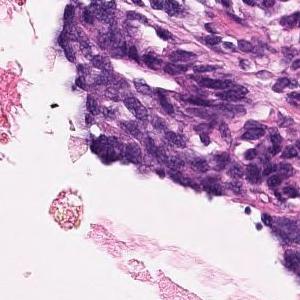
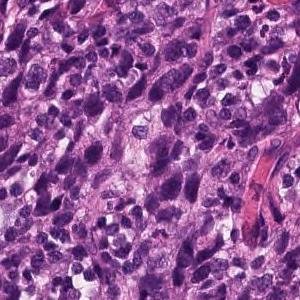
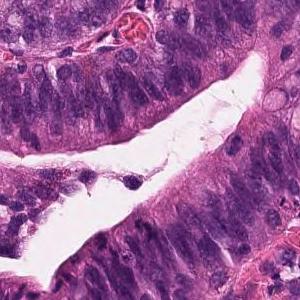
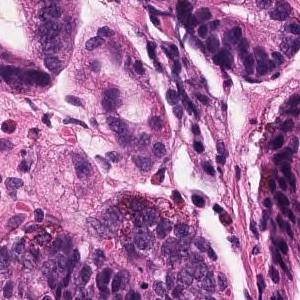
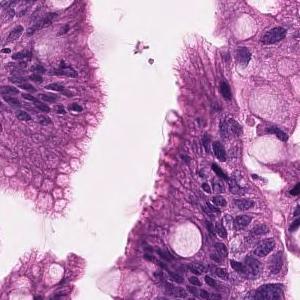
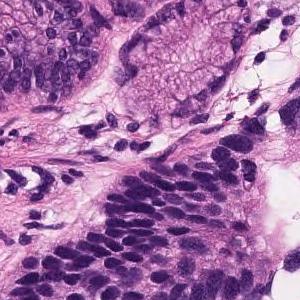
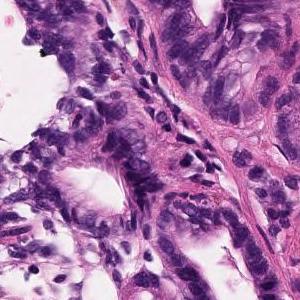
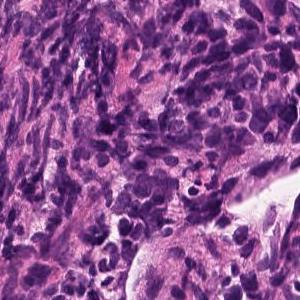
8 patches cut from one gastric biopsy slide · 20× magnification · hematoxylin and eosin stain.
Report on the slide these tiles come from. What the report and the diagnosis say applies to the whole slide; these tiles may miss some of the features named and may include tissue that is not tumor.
In the superficial epithelium, tumor tissue that invades by forming medium-sized to small, irregular ducts is observed. Moderately differentiated adenocarcinoma.
Classified as moderately differentiated tubular adenocarcinoma.
